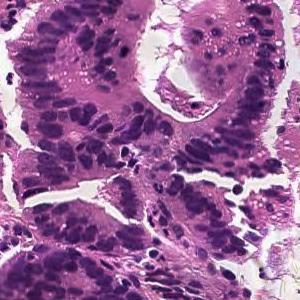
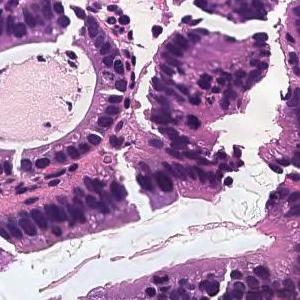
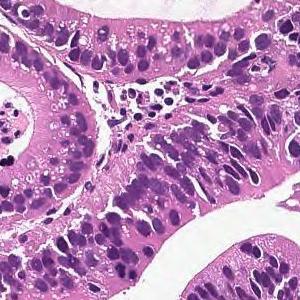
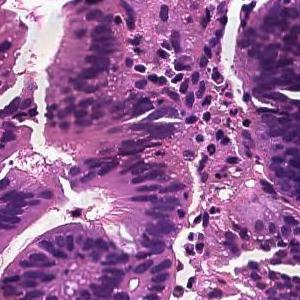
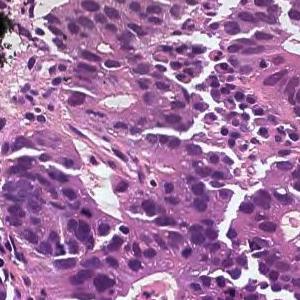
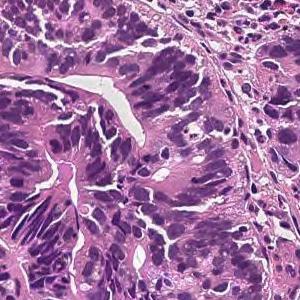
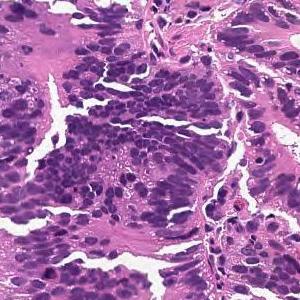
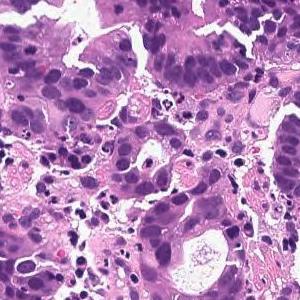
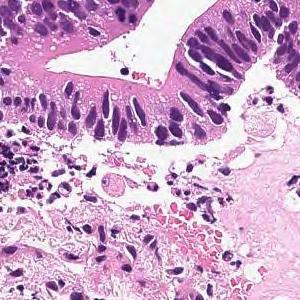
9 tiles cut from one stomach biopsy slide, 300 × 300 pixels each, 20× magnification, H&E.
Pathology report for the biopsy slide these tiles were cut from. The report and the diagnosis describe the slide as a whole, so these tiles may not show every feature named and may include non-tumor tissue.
On the superficial epithelium, tumor tissue consisting of large irregular glandular ducts partially fused and infiltrated is observed. Well to moderately differentiated tubular adenocarcinoma (well differentiated tubular adenocarcinoma, moderately differentiated tubular adenocarcinoma)
Subtype: Well to moderately differentiated tubular adenocarcinoma.
